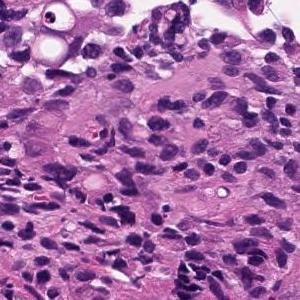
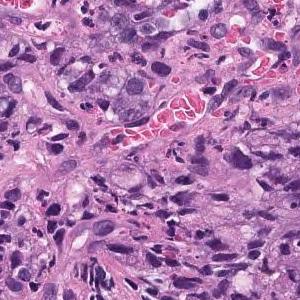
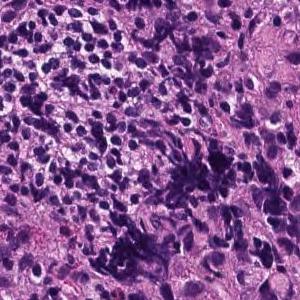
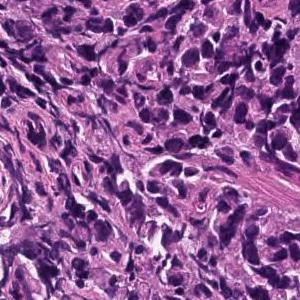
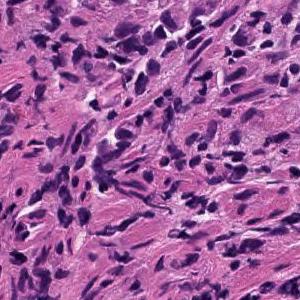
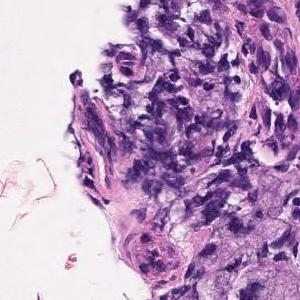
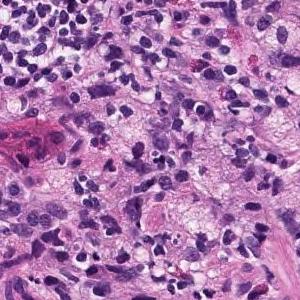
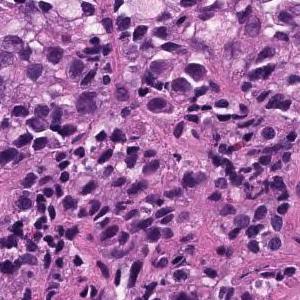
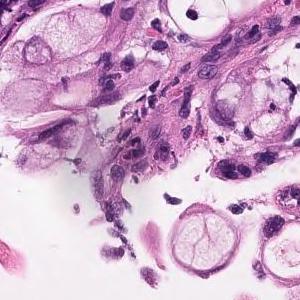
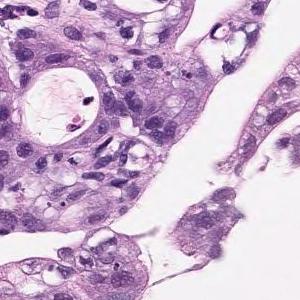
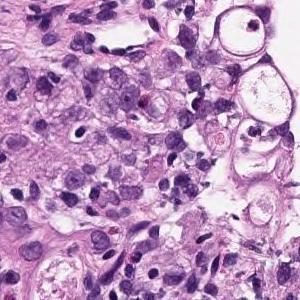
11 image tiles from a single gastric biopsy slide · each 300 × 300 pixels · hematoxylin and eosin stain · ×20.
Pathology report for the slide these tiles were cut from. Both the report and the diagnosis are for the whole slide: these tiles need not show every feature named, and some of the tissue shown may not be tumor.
Atypical epithelium forms irregularly fused gland ducts and proliferates. Poorly differentiated adenocarcinoma.
Classified as poorly differentiated adenocarcinoma, non-solid type.
The non-solid type named here is a Japanese Classification of Gastric Carcinoma category.
